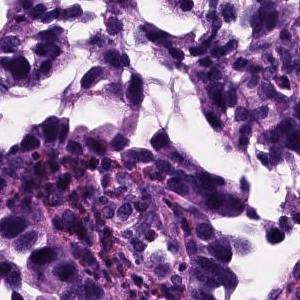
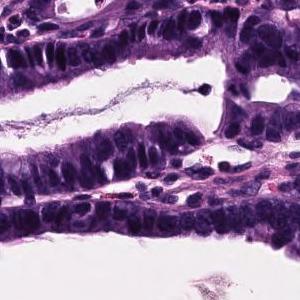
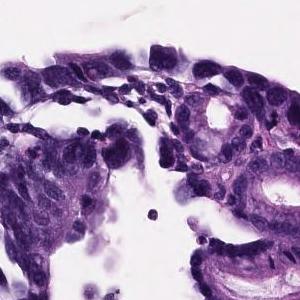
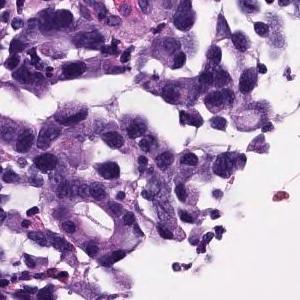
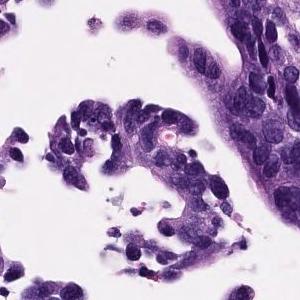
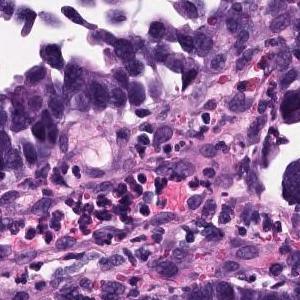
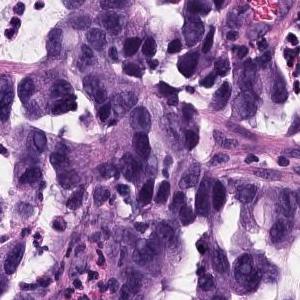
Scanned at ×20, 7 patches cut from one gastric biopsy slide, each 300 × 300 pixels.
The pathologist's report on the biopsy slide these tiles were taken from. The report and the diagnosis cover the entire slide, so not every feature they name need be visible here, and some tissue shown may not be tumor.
Atypical epithelium proliferating showing villus construction and irregular gland duct construction is observed. Moderately differentiated tubular adenocarcinoma.
